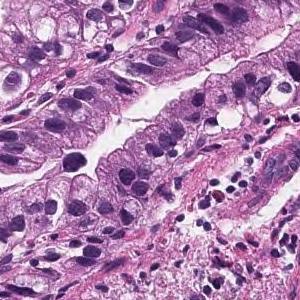
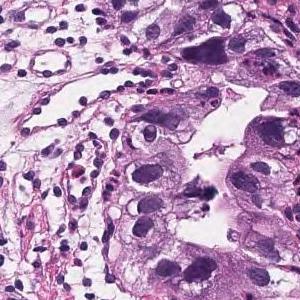
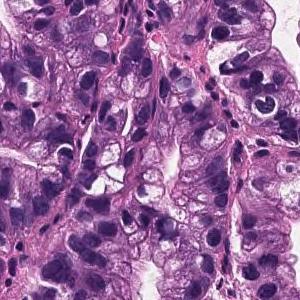
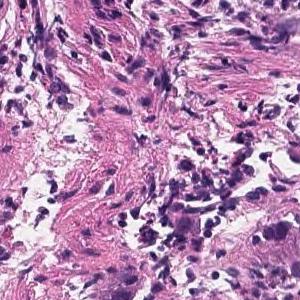
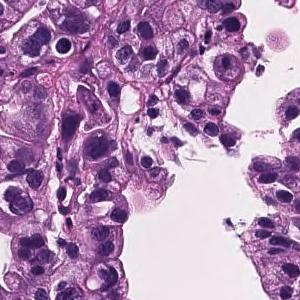
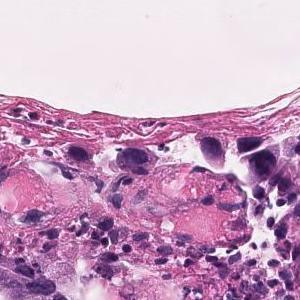
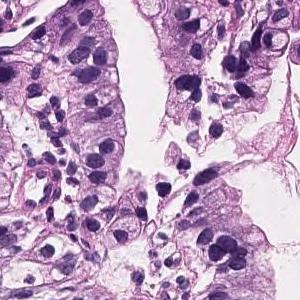
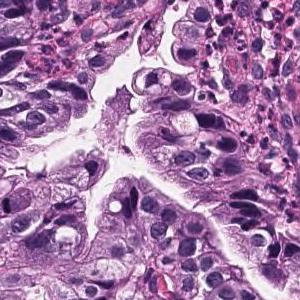
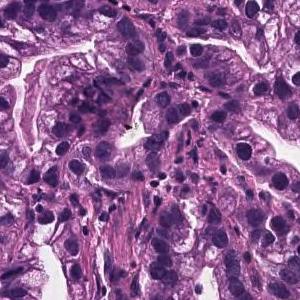
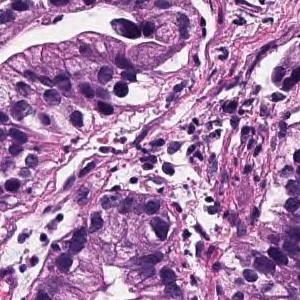
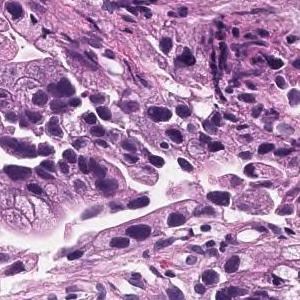
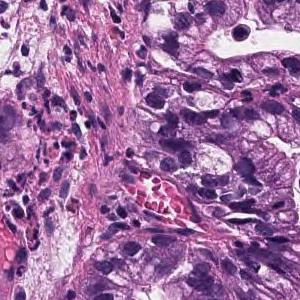
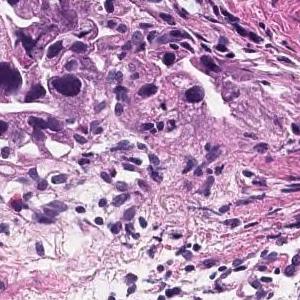
20× magnification · hematoxylin and eosin stain · 13 tiles cut from one stomach biopsy slide · 300×300 px each.
Pathology report for the slide these tiles were cut from. The report and the diagnosis describe the slide as a whole, so these tiles may not show every feature named and may include non-tumor tissue.
Tumor cells are large, highly columnar, large club-shaped nuclei, and are associated with chromatin aggregation. Papillary adenocarcinoma.
